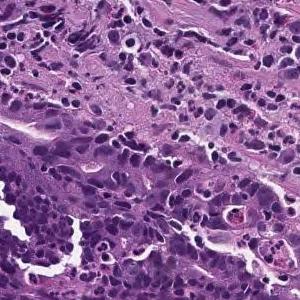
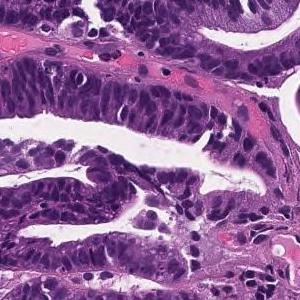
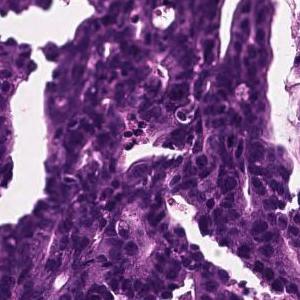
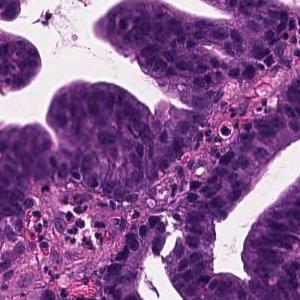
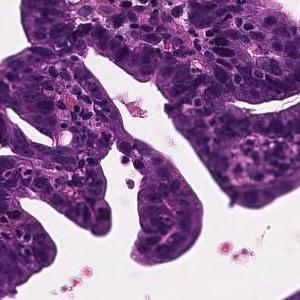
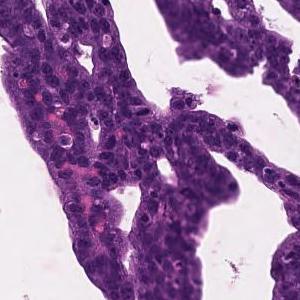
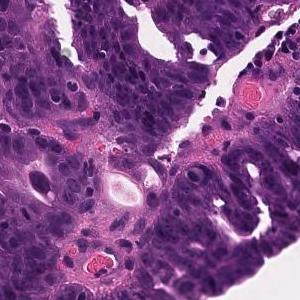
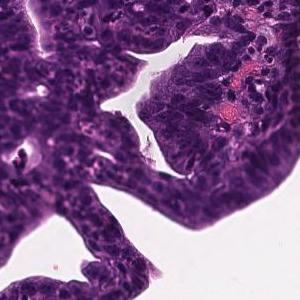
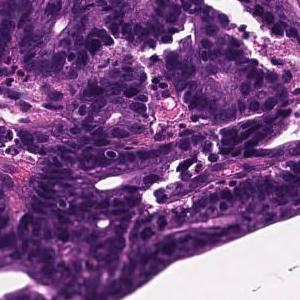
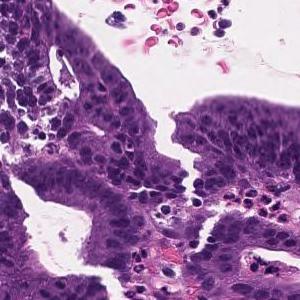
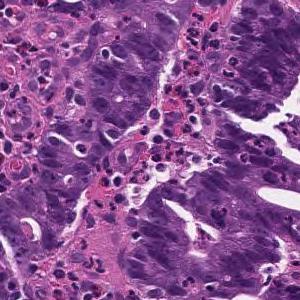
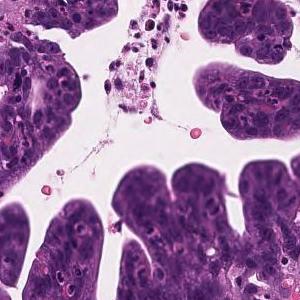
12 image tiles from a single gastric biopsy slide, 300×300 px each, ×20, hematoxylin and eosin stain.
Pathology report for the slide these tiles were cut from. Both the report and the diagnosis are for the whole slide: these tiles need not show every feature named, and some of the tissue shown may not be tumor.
Tumor cells are large, highly columnar, large club-shaped nuclei, and are associated with chromatin aggregation. Papillary adenocarcinoma.
